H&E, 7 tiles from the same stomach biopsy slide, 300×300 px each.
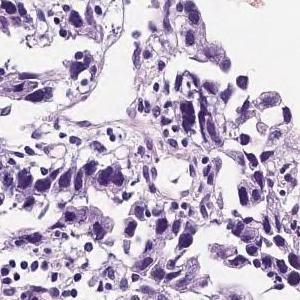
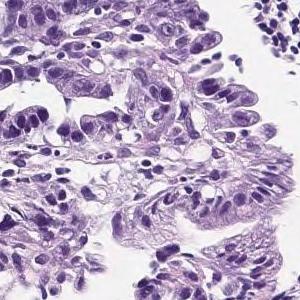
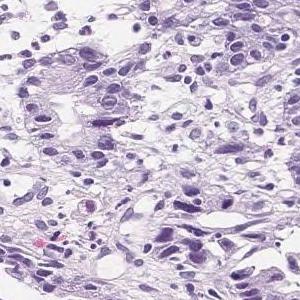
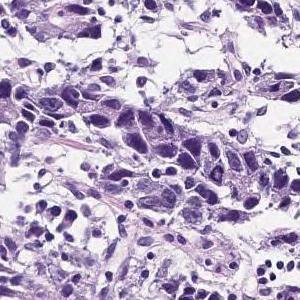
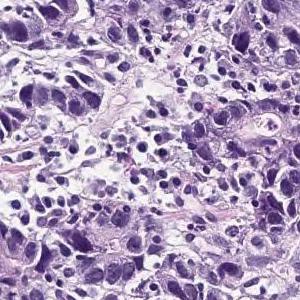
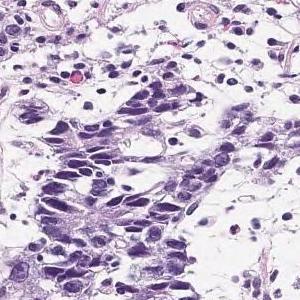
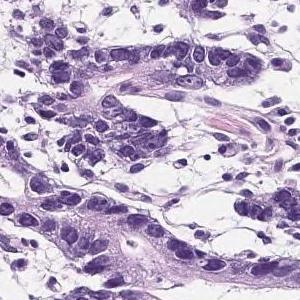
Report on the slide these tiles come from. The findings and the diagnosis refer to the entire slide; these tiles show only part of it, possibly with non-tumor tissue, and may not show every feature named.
Well-differentiated tubular adenocarcinoma that grows with some small irregular ducts fused to the superficial epithelium. Well differentiated tubular adenocarcinoma
